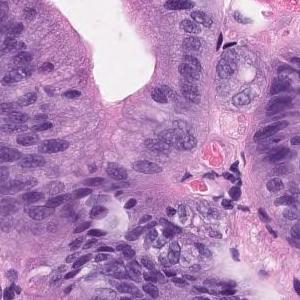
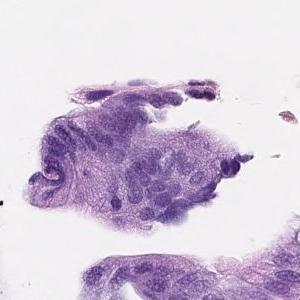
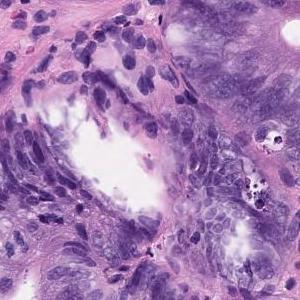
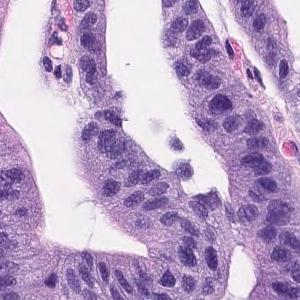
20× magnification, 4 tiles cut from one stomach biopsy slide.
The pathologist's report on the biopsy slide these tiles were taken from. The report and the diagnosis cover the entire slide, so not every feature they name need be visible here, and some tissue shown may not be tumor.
On the superficial epithelium, tumor tissue consisting of images of atypical ducts of different sizes partially fused and densely proliferating is observed. Well differentiated tubular adenocarcinoma
